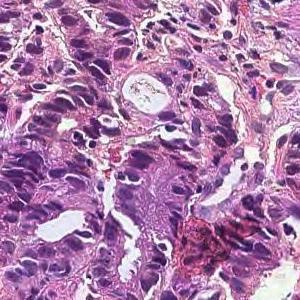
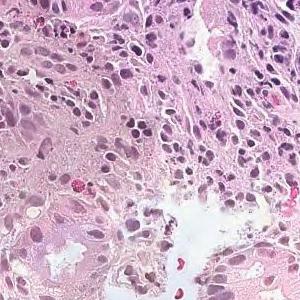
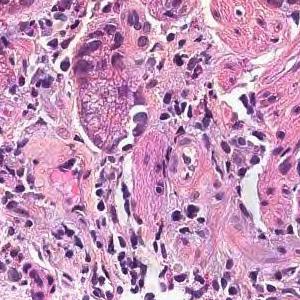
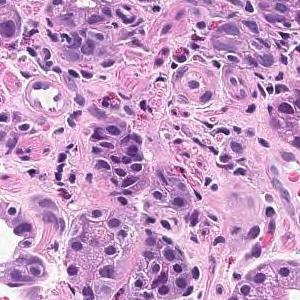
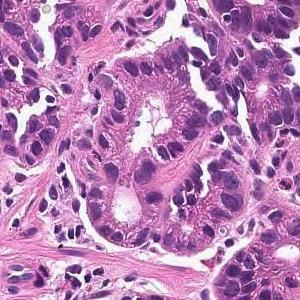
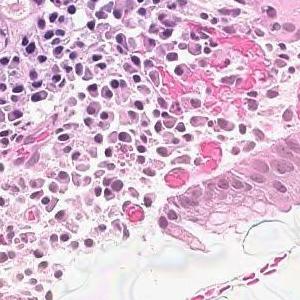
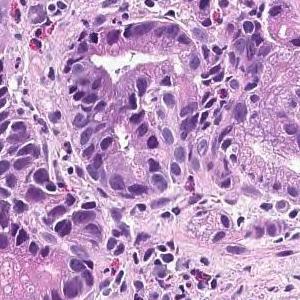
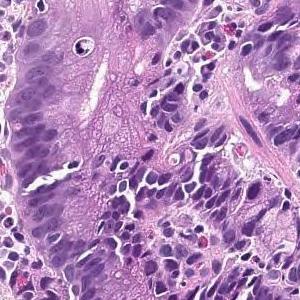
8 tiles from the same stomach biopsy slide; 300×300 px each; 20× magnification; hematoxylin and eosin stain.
Diagnostic report for the slide these tiles come from. What the report and the diagnosis say applies to the whole slide; these tiles may miss some of the features named and may include tissue that is not tumor.
In the superficial epithelium, tumor tissue that invades by forming medium-sized to small, irregular ducts is observed. moderately differentiated tubular adenocarcinoma.
